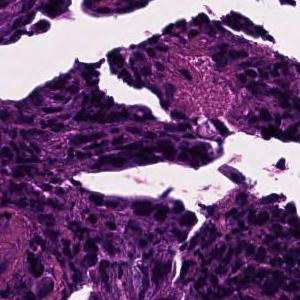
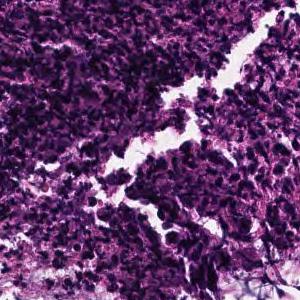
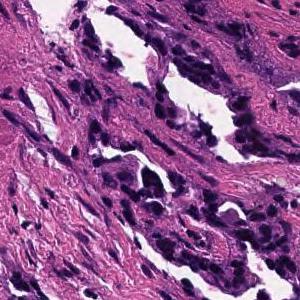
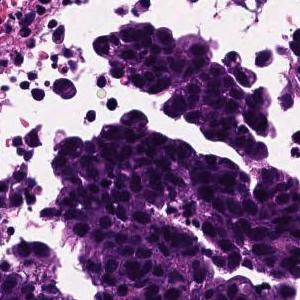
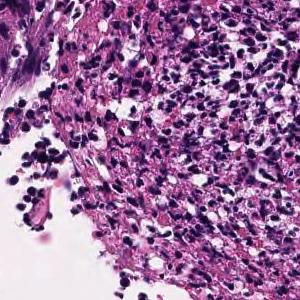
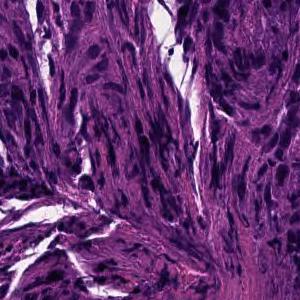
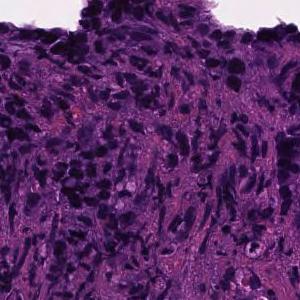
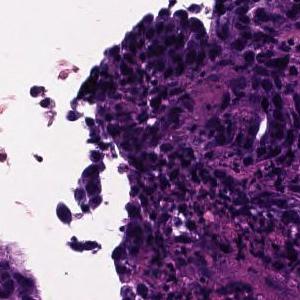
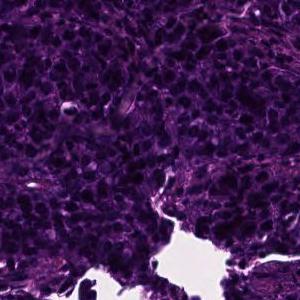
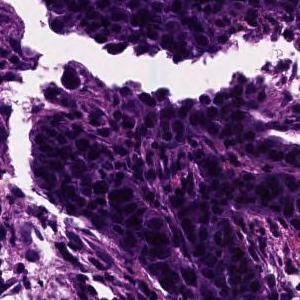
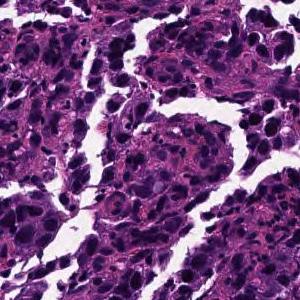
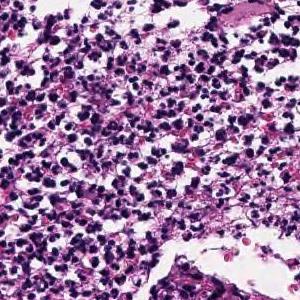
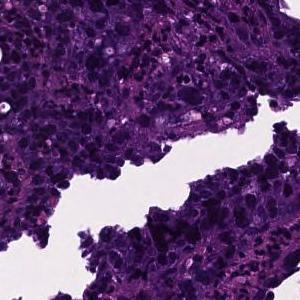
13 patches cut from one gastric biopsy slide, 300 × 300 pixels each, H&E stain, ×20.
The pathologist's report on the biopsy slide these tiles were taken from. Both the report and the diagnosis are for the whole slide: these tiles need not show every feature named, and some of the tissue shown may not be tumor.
In the superficial epithelium, tumor tissue that invades by forming medium-sized to small, irregular ducts is observed. moderately differentiated tubular adenocarcinoma.
